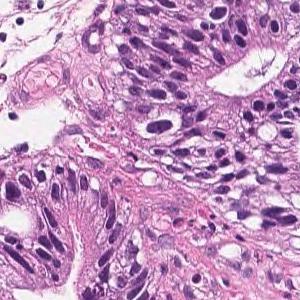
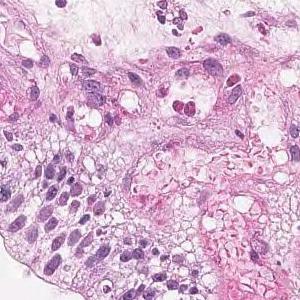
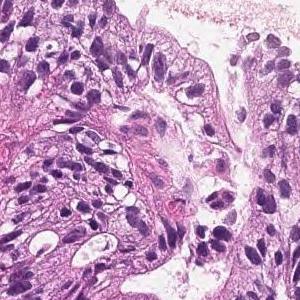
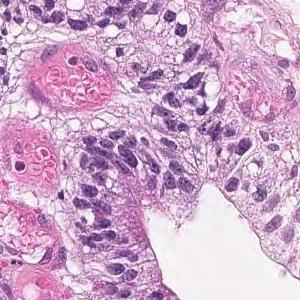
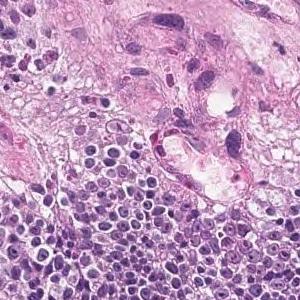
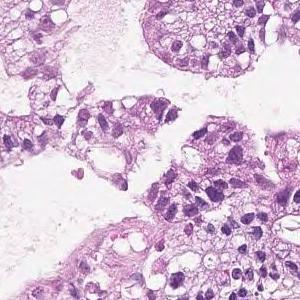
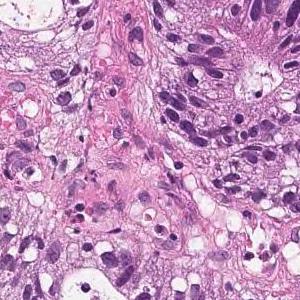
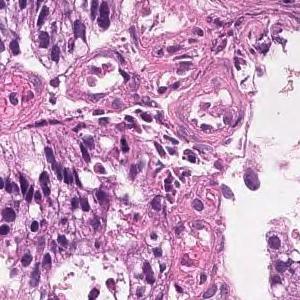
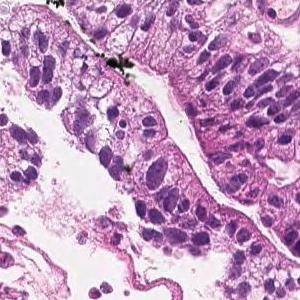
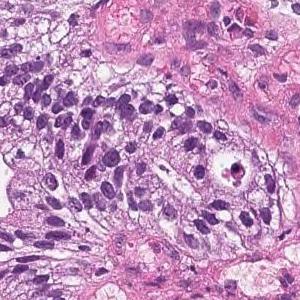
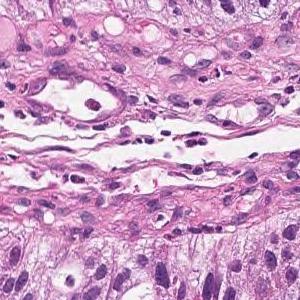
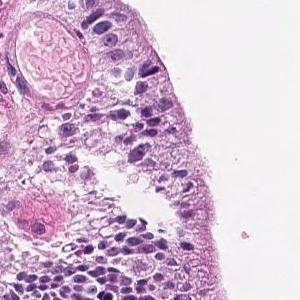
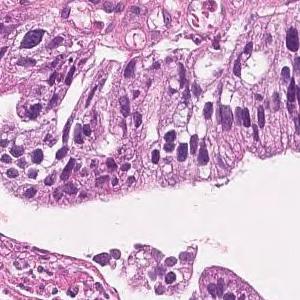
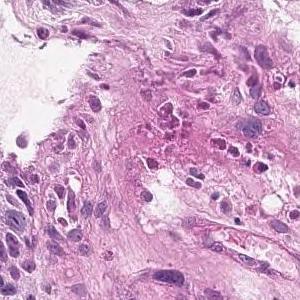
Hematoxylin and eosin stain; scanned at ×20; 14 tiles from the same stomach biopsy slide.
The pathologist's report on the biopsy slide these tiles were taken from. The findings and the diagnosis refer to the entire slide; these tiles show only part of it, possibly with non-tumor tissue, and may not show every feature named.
On the superficial epithelium, tumor tissue that infiltrates by forming medium-sized papillary or small irregular ducts is observed. Papillary adenocarcinoma
